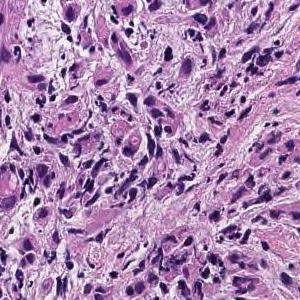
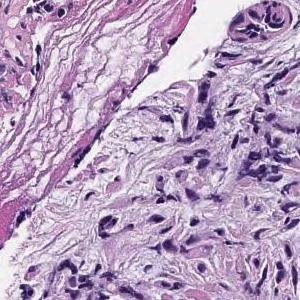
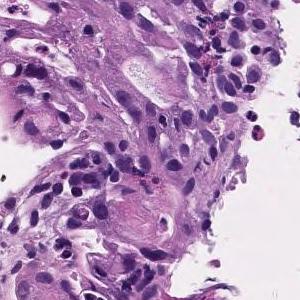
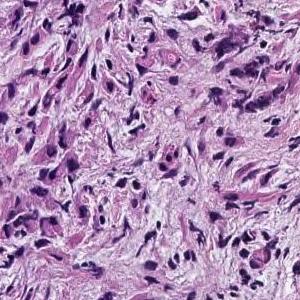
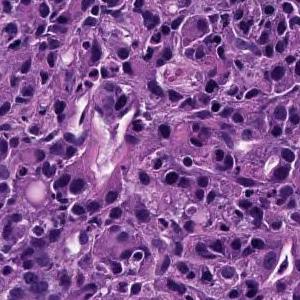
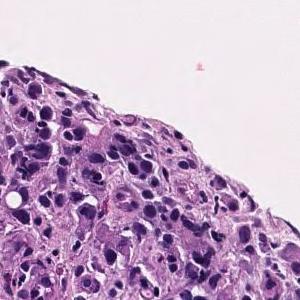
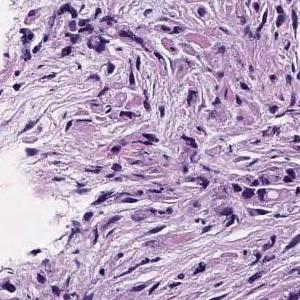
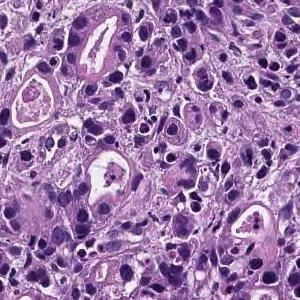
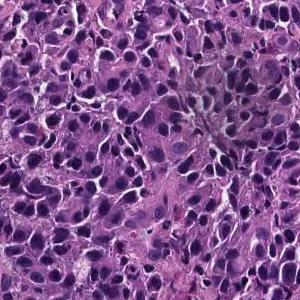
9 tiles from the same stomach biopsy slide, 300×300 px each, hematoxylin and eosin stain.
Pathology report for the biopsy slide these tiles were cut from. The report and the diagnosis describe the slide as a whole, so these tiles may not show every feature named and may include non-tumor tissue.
The superficial epithelium shows a large sheet-like shape, and some tumor tissue infiltrates with small irregular ducts. Poorly differentiated adenocarcinoma, solid-type
Subtype: Poorly differentiated adenocarcinoma, solid type, a category of the Japanese Classification of Gastric Carcinoma; in the WHO 2019 classification it is tubular adenocarcinoma, poorly differentiated.
